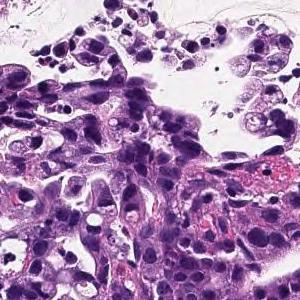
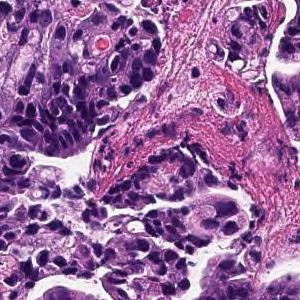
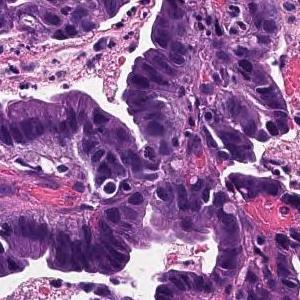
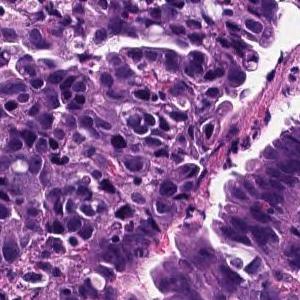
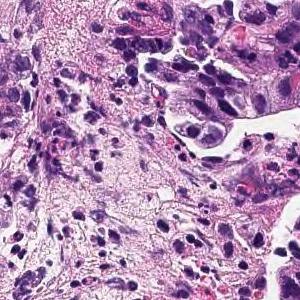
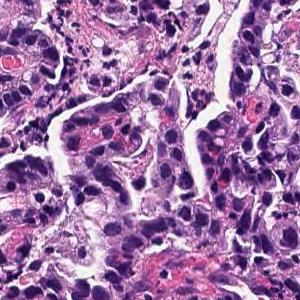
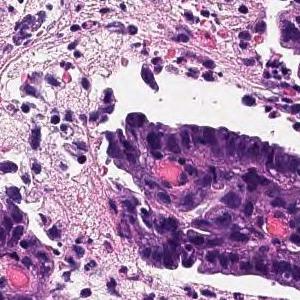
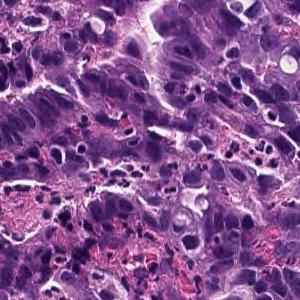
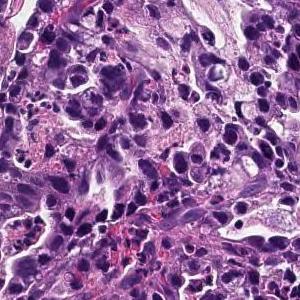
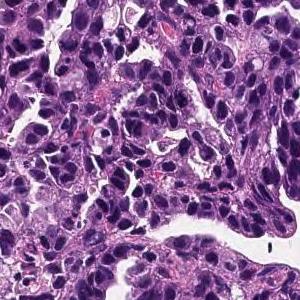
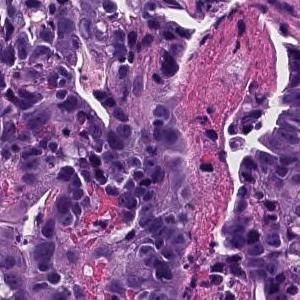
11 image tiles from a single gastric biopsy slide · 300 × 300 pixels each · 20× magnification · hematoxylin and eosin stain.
Pathology report for the slide these tiles were cut from. The findings and the diagnosis refer to the entire slide; these tiles show only part of it, possibly with non-tumor tissue, and may not show every feature named.
Infiltrating tumor tissue is observed in the superficial epithelium, showing large papillary structures or large and small ducts. Papillary adenocarcinoma
